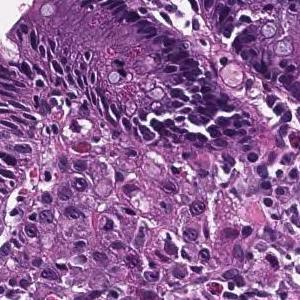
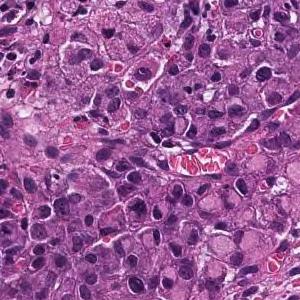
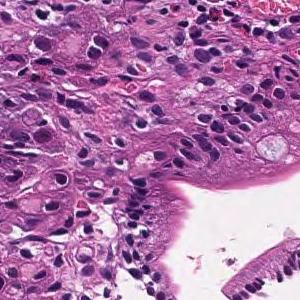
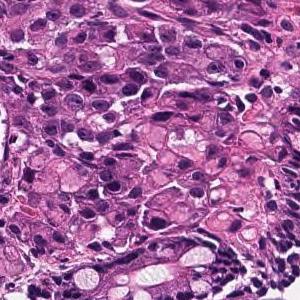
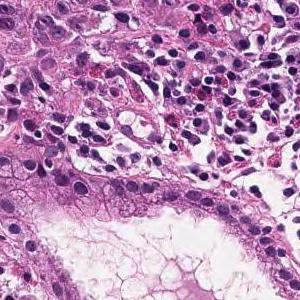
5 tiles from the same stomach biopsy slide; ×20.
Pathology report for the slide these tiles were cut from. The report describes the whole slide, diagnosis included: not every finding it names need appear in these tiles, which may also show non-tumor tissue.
Tumor tissue consisting of cord-like or small, irregular glandular ducts fused and infiltrated is observed in the superficial epithelium. Poorly differentiated adenocarcinoma, non-solid type
The non-solid type named here is a Japanese Classification of Gastric Carcinoma category.
